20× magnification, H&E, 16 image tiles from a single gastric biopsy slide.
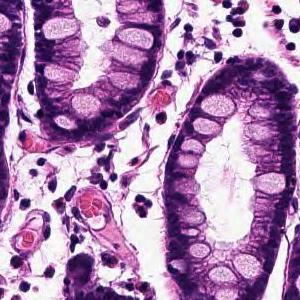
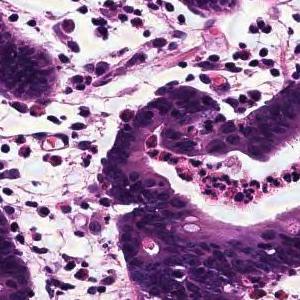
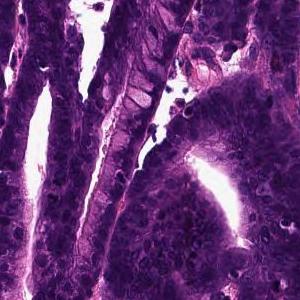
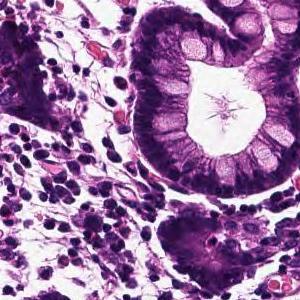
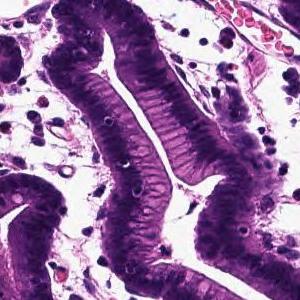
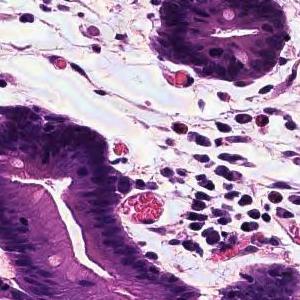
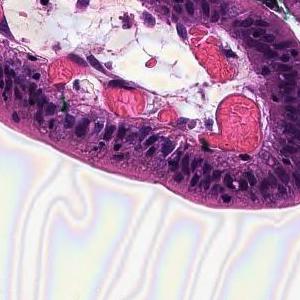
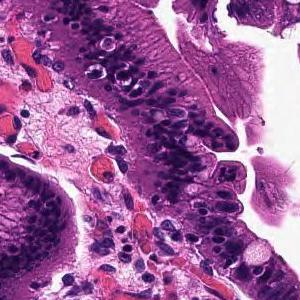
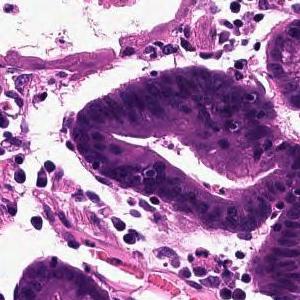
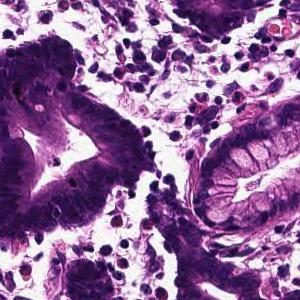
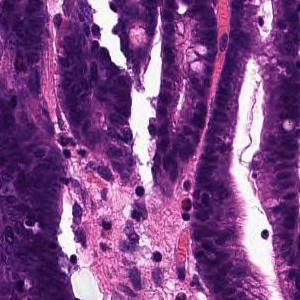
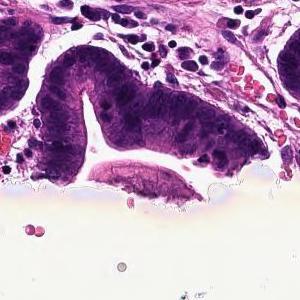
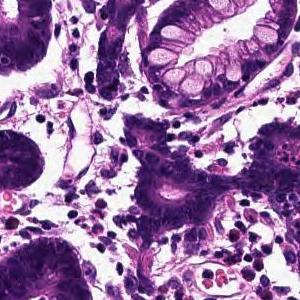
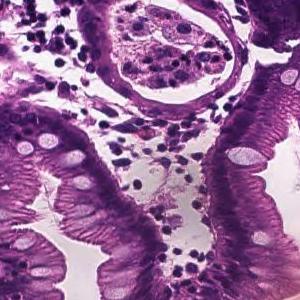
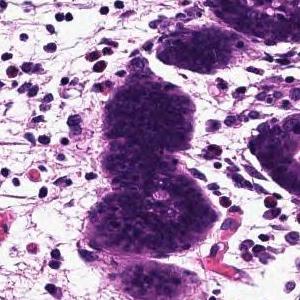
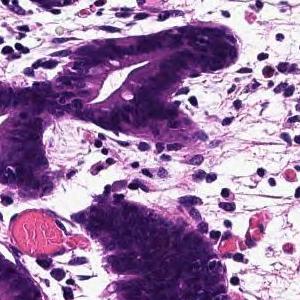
Diagnostic report for the slide these tiles come from. Both the report and the diagnosis are for the whole slide: these tiles need not show every feature named, and some of the tissue shown may not be tumor.
Tumor tissue that infiltrates by forming large papillary or large irregular glandular ducts is observed confined to the mucosa. Papillary adenocarcinoma
